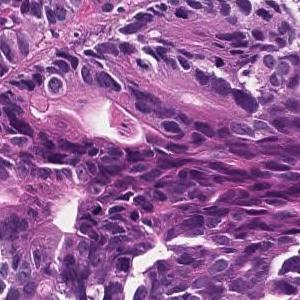
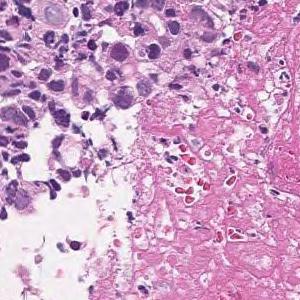
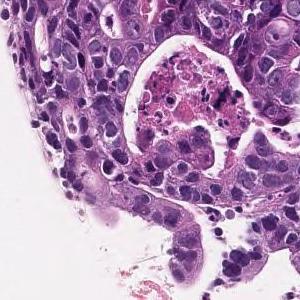
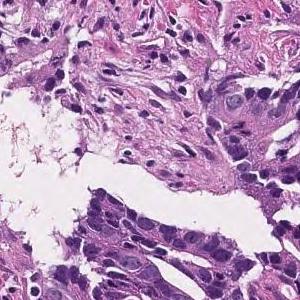
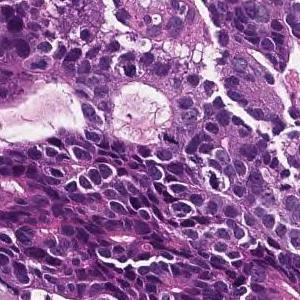
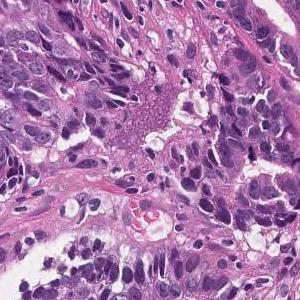
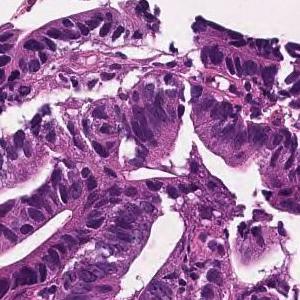
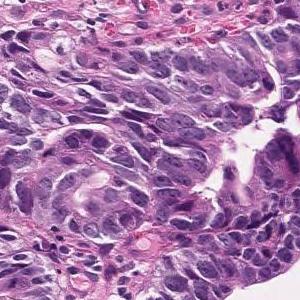
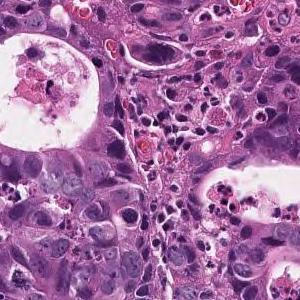
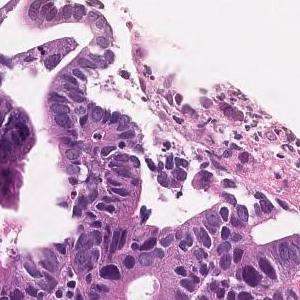
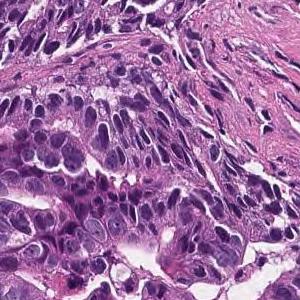
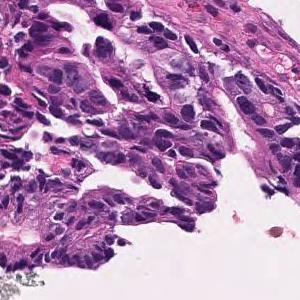
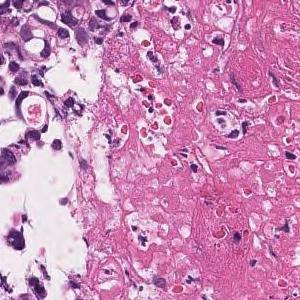
13 patches cut from one gastric biopsy slide.
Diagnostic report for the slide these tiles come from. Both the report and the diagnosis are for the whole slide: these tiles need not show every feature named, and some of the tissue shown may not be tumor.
In the superficial epithelium, tumor tissue that invades by forming medium-sized to small, irregular ducts is observed. moderately differentiated tubular adenocarcinoma.
